11 tiles from the same stomach biopsy slide, hematoxylin and eosin stain, ×20.
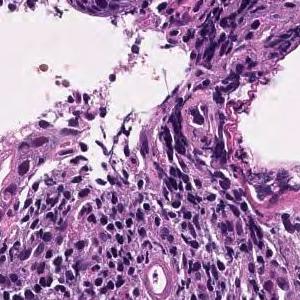
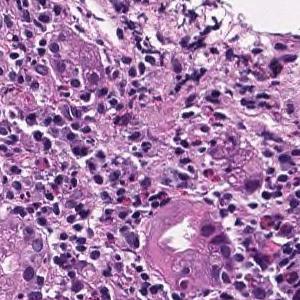
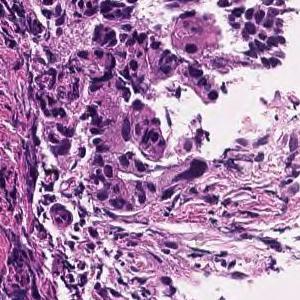
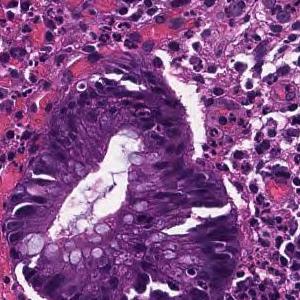
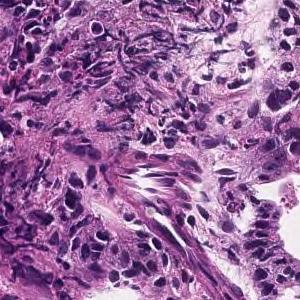
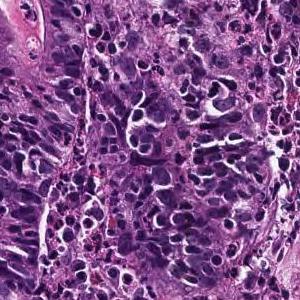
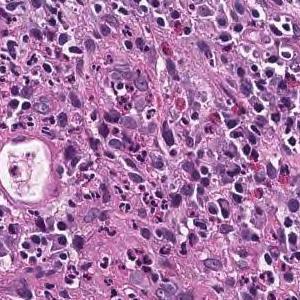
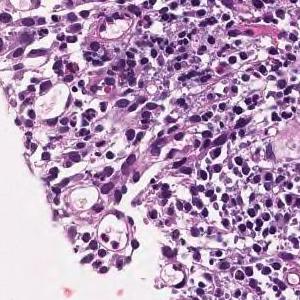
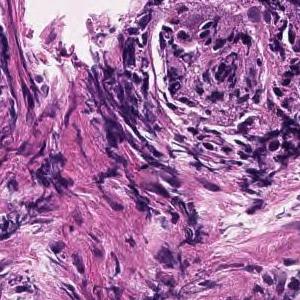
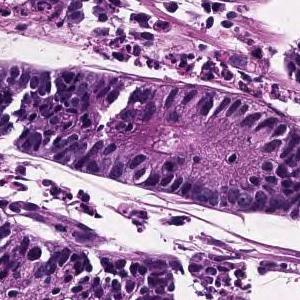
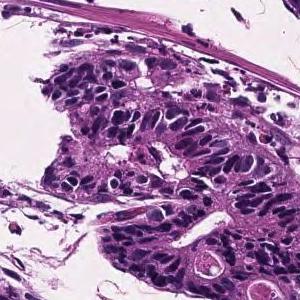
The pathologist's report on the biopsy slide these tiles were taken from. Both the report and the diagnosis are for the whole slide: these tiles need not show every feature named, and some of the tissue shown may not be tumor.
On the superficial epithelium, tumor tissue consisting of large, irregular glandular ducts partially fused and infiltrated is observed. Well to moderately differentiated tubular adenocarcinoma (well differentiated tubular adenocarcinoma, moderately differentiated tubular adenocarcinoma)
Subtype: Well to moderately differentiated tubular adenocarcinoma.
